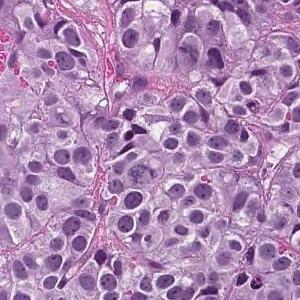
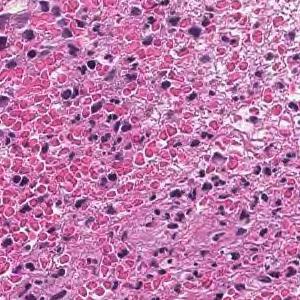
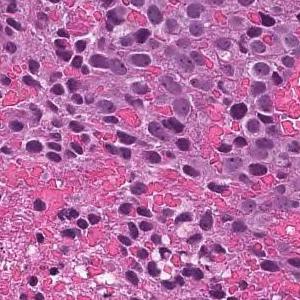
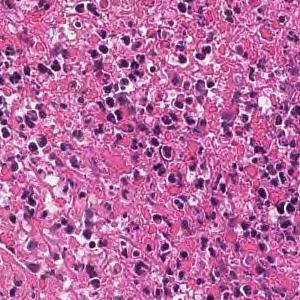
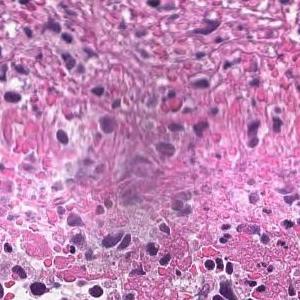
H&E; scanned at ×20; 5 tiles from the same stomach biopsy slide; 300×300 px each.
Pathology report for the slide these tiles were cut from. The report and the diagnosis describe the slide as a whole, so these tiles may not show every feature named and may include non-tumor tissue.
The superficial epithelium shows a large sheet-like shape, and some tumor tissue infiltrates with small irregular ducts. Poorly differentiated adenocarcinoma, solid-type
Tumor subtype: poorly differentiated adenocarcinoma, solid type (Japanese Classification of Gastric Carcinoma). The WHO 2019 equivalent is tubular adenocarcinoma, poorly differentiated.
